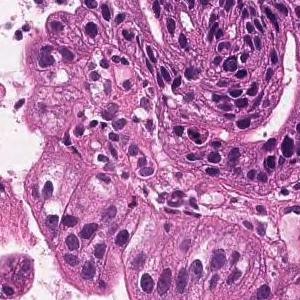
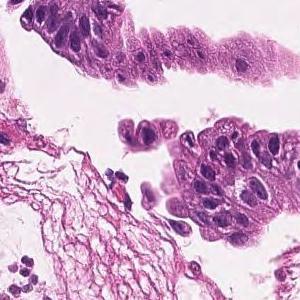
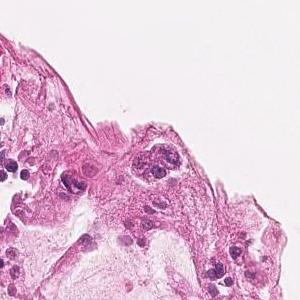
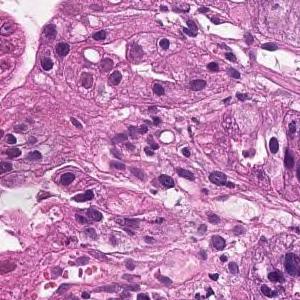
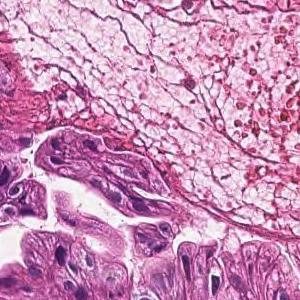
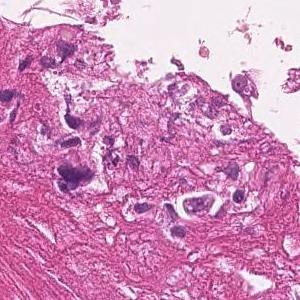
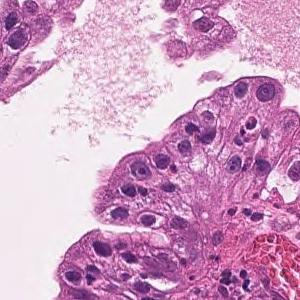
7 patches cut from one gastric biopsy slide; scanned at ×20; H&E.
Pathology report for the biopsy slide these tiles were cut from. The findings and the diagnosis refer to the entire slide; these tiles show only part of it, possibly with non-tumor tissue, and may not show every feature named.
Tumor cells are large, highly columnar, large club-shaped nuclei, and are associated with chromatin aggregation. Papillary adenocarcinoma.
